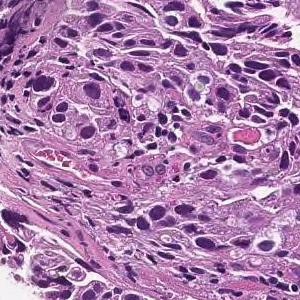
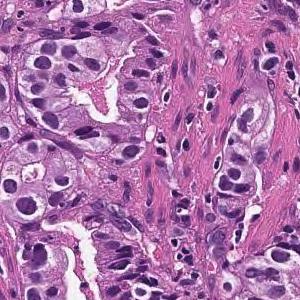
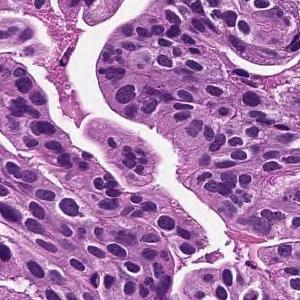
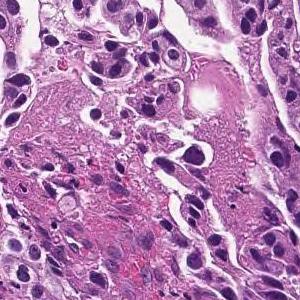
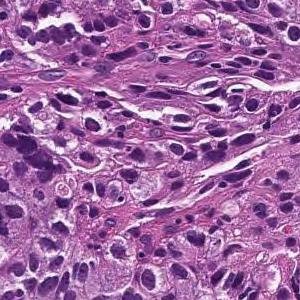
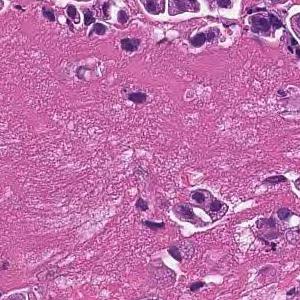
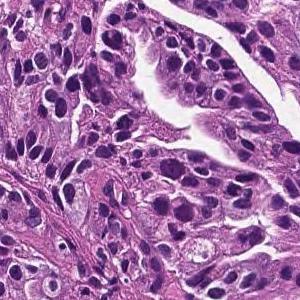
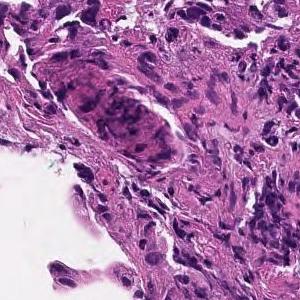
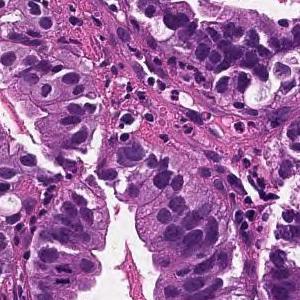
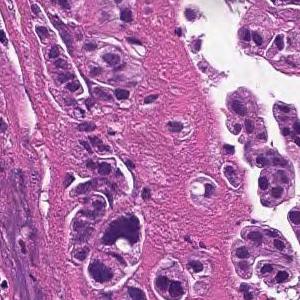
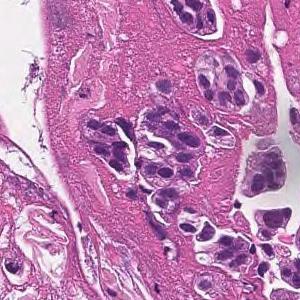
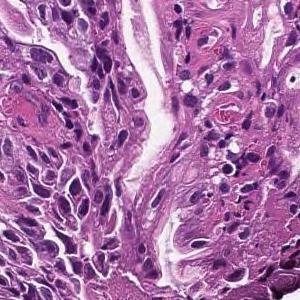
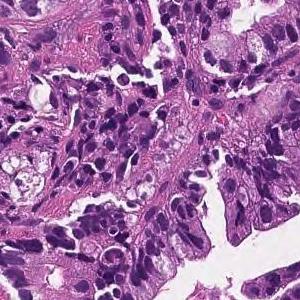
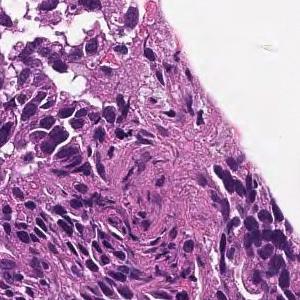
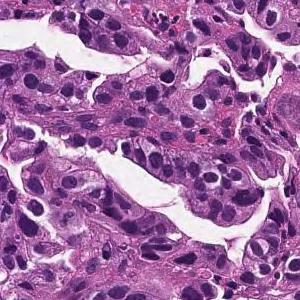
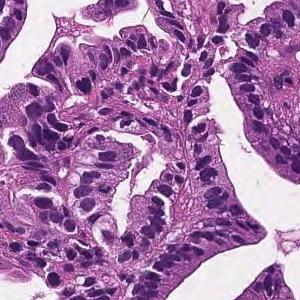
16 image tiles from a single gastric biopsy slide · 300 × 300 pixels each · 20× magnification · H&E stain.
The pathologist's report on the biopsy slide these tiles were taken from. The findings and the diagnosis refer to the entire slide; these tiles show only part of it, possibly with non-tumor tissue, and may not show every feature named.
Medium to small, irregular glandular ducts are formed in the superficial epithelium, and in some cases, the glandular ducts are fused to show solid alveolar lesions and infiltrating tumor tissue is observed. Moderately to poorly differentiated adenocarcinoma.
